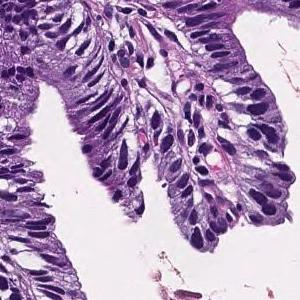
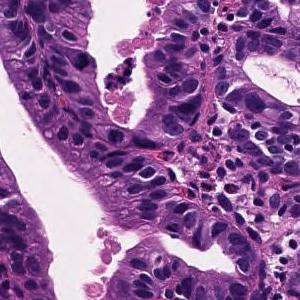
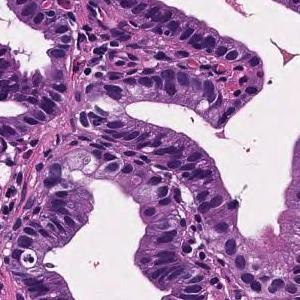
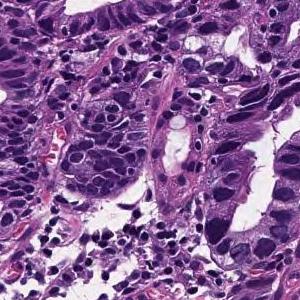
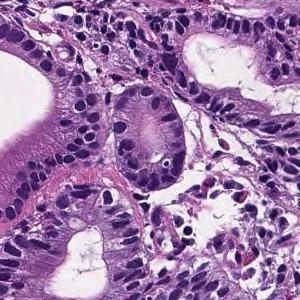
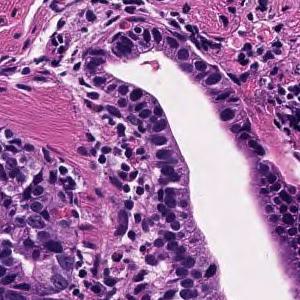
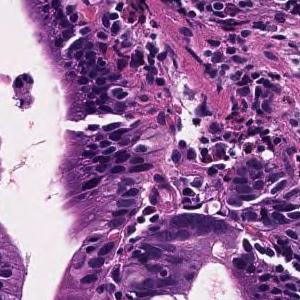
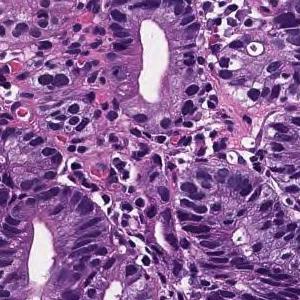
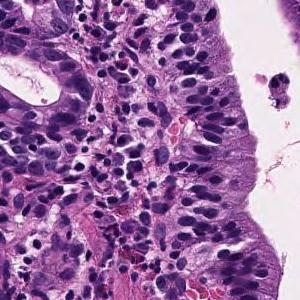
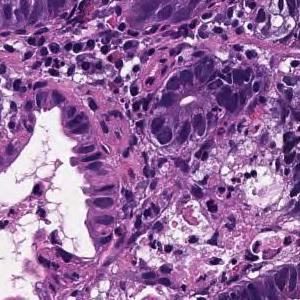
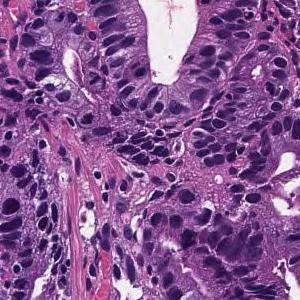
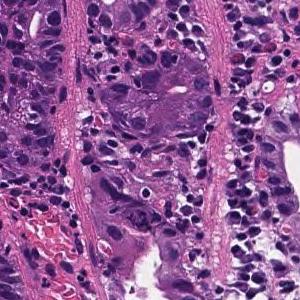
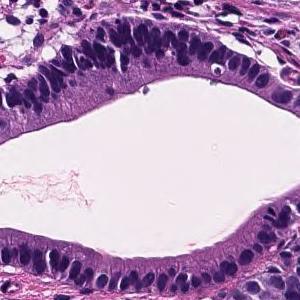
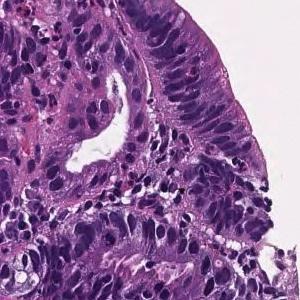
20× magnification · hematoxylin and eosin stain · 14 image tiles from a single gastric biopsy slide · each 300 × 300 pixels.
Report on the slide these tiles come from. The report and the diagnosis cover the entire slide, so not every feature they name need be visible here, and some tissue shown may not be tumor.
In the superficial epithelium, tumor tissue that invades by forming medium-sized to small, irregular ducts is observed. Well differentiated tubular adenocarcinoma.
